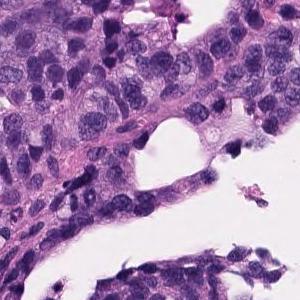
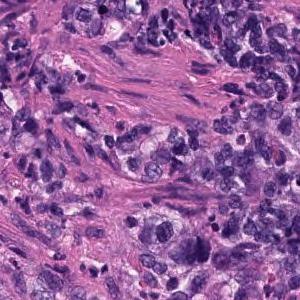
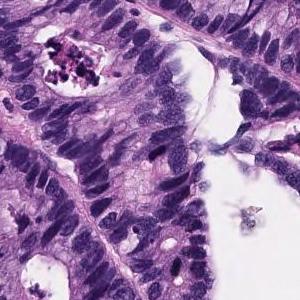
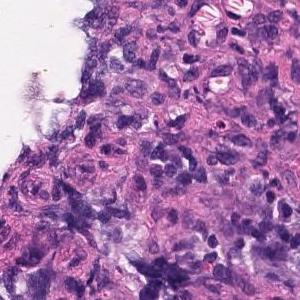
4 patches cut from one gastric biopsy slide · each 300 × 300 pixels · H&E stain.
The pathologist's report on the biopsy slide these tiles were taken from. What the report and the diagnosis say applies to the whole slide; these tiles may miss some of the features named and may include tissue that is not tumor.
Atypical l cells with atypical nuclei under the mucosa growing in isolation and scattered. Poorly differentiated adenocarcinoma (poorly differentiated adenocarcinoma, non-solid type)
Histologic type: Poorly differentiated adenocarcinoma, non-solid type.
The non-solid type named here is a Japanese Classification of Gastric Carcinoma category.
